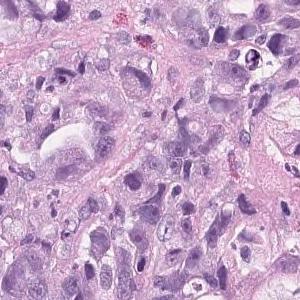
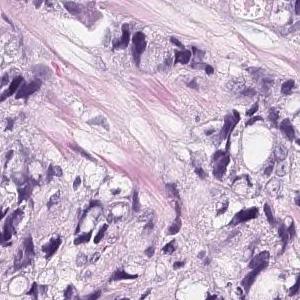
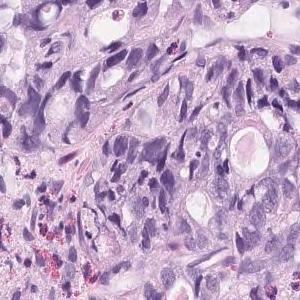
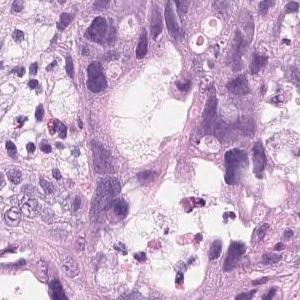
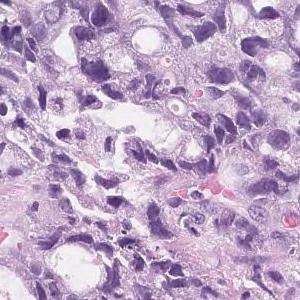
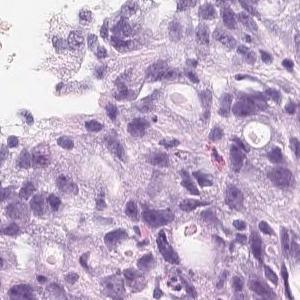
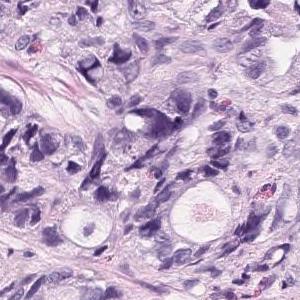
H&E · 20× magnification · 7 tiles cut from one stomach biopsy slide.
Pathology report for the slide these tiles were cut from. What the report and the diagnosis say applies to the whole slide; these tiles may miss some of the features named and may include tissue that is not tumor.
Tumor tissue that infiltrates and proliferates by forming small glandular cavities in the superficial layer to the submucosa or forming a mass is observed. moderately differentiated tubular adenocarcinoma
